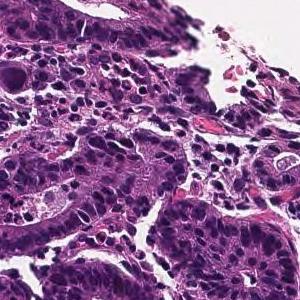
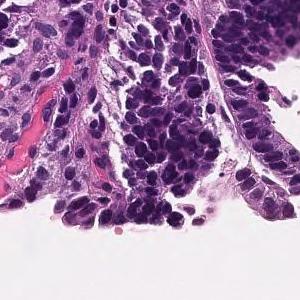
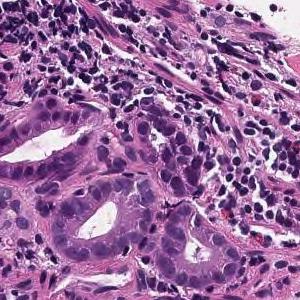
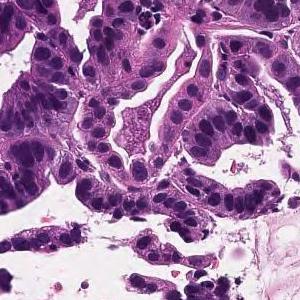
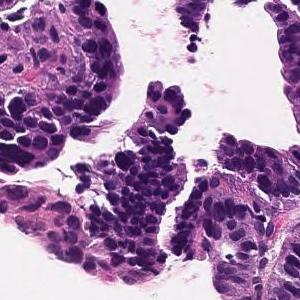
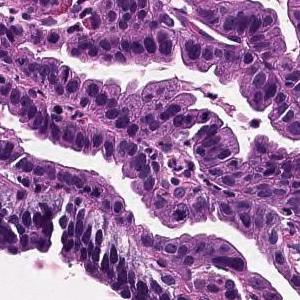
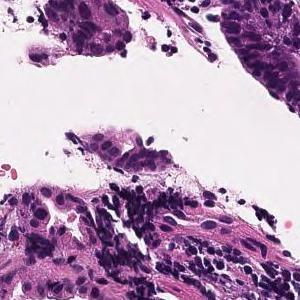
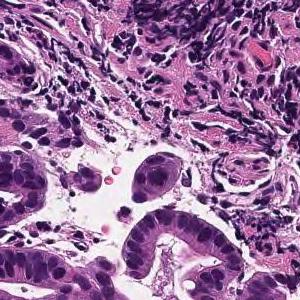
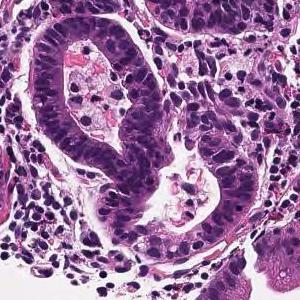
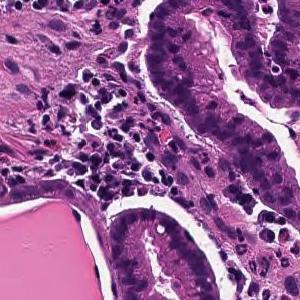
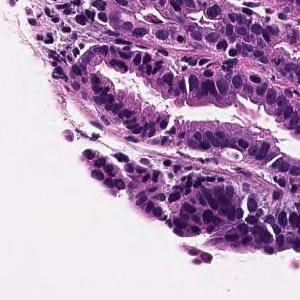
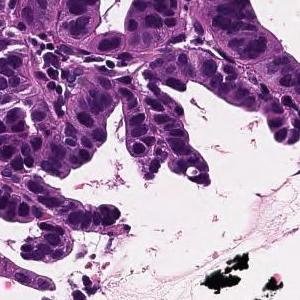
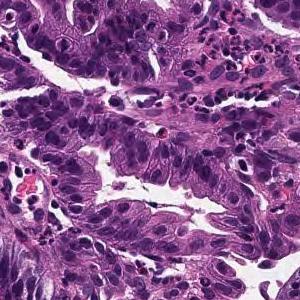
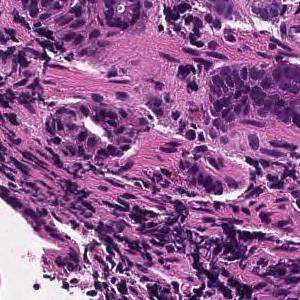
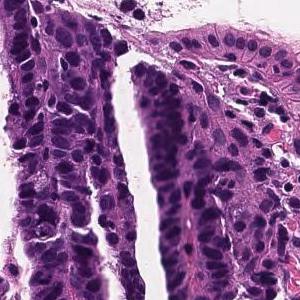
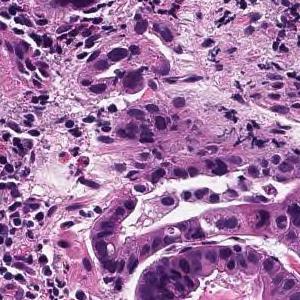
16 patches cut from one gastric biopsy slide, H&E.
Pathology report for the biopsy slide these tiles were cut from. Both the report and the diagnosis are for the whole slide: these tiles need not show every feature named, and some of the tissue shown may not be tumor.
From the superficial epithelium to the muscularis mucosae, tumor tissue that invades by forming medium-sized to small irregular gland ducts is observed. Well differentiated tubular adenocarcinoma (well differentiated tubular adenocarcinoma)
Classified as well differentiated tubular adenocarcinoma.
